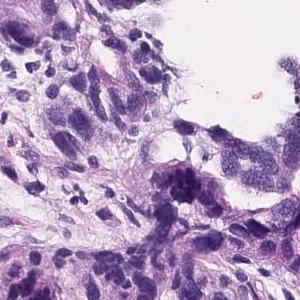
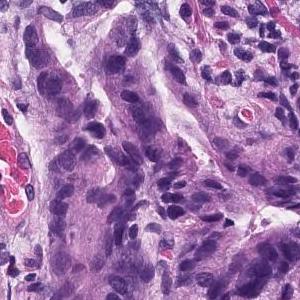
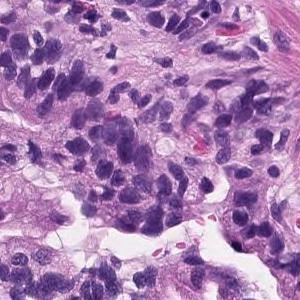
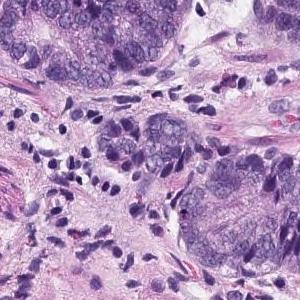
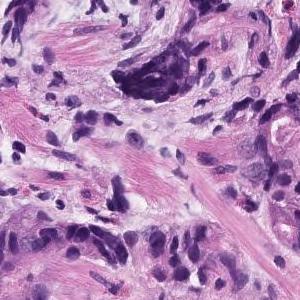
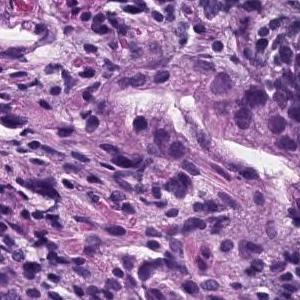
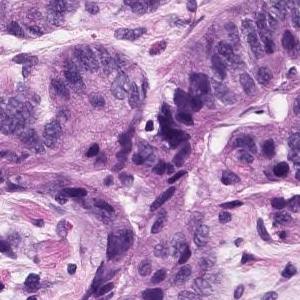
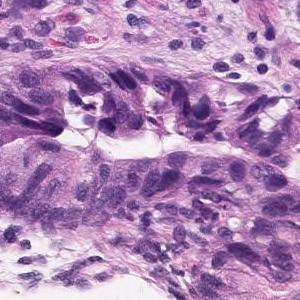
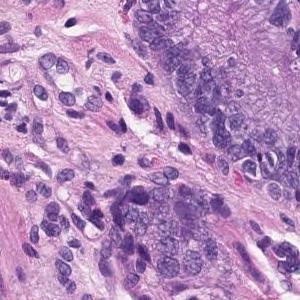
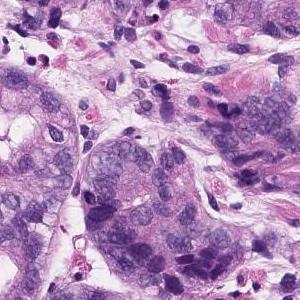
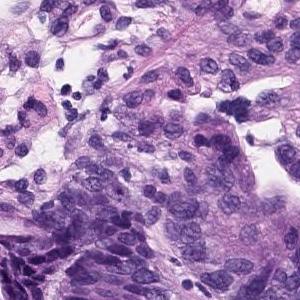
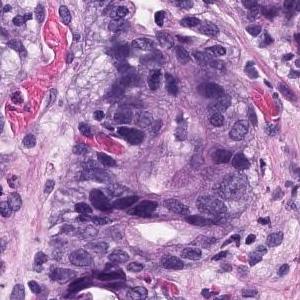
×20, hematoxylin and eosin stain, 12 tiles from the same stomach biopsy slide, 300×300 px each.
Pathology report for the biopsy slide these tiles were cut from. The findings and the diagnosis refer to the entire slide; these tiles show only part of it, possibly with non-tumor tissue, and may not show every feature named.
In the superficial epithelium, tumor tissue that invades by forming medium-sized to small, irregular ducts is observed. Moderately differentiated adenocarcinoma.
Histologic type: Moderately differentiated tubular adenocarcinoma.
